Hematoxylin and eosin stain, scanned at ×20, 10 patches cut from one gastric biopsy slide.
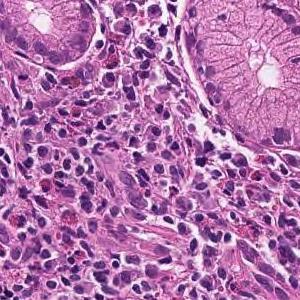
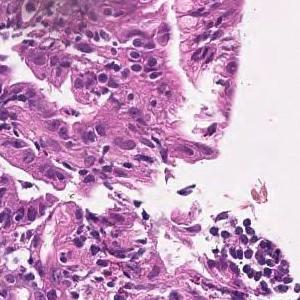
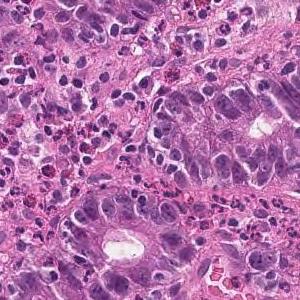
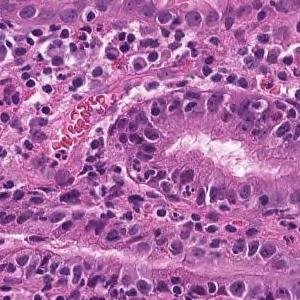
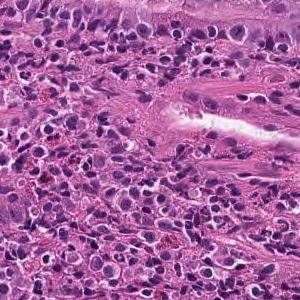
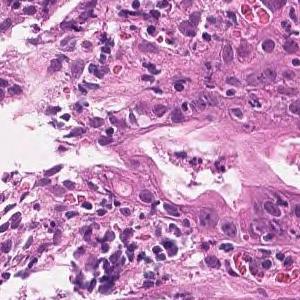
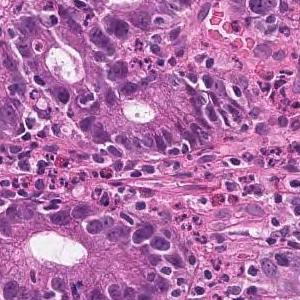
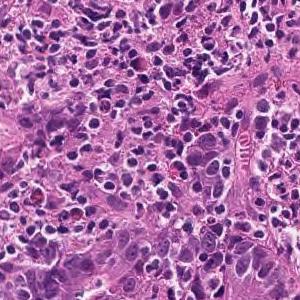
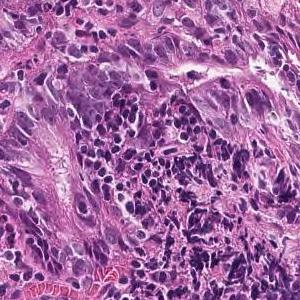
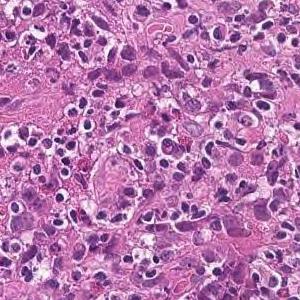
The pathologist's report on the biopsy slide these tiles were taken from. The report describes the whole slide, diagnosis included: not every finding it names need appear in these tiles, which may also show non-tumor tissue.
Tumor tissue consisting of medium-sized, cord-like or irregular glandular infiltration is observed in the superficial epithelium. Poorly differentiated adenocarcinoma, non-solid type or moderately differentiated tubular adenocarcinoma
Dataset label: poorly differentiated adenocarcinoma, non-solid type.
The non-solid type named here is a Japanese Classification of Gastric Carcinoma category.
